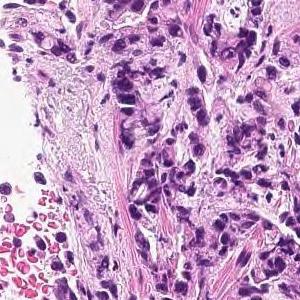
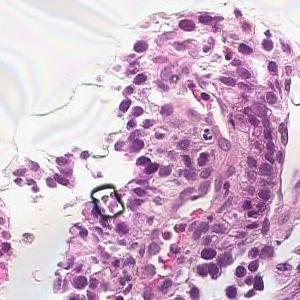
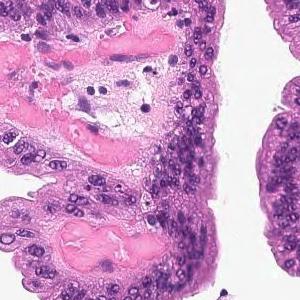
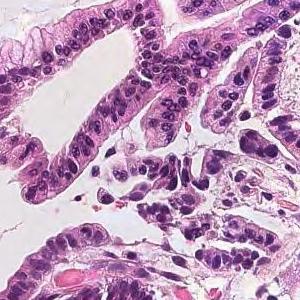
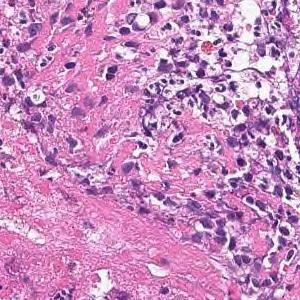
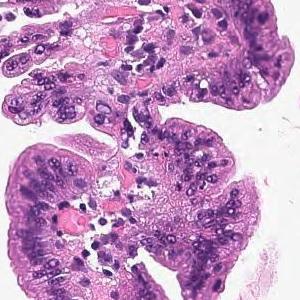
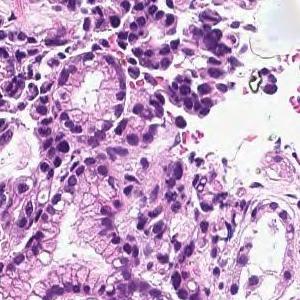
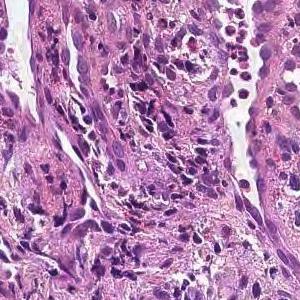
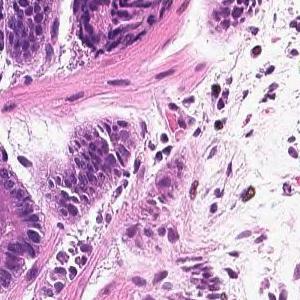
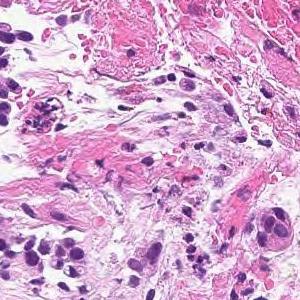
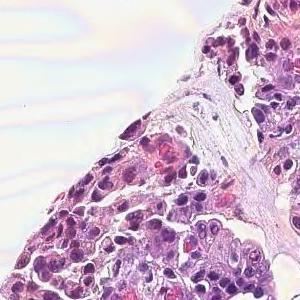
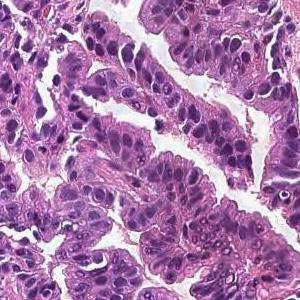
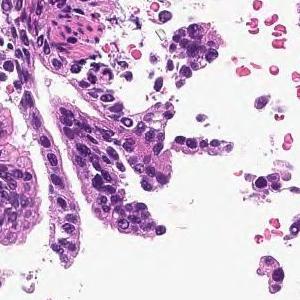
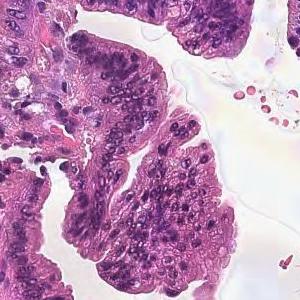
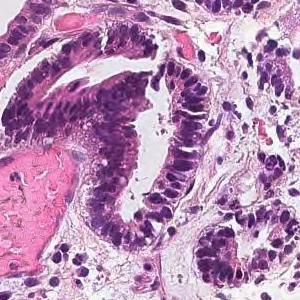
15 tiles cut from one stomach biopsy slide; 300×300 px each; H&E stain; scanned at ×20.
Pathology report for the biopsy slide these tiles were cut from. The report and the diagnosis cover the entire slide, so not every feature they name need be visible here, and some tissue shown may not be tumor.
Tumor tissue consisting of medium-sized, cord-like or irregular glandular infiltration is observed in the superficial epithelium. Poorly differentiated adenocarcinoma, non-solid type or moderately differentiated tubular adenocarcinoma
Histologic type: Moderately to poorly differentiated adenocarcinoma.
The term "non-solid type" comes from the Japanese Classification of Gastric Carcinoma.
